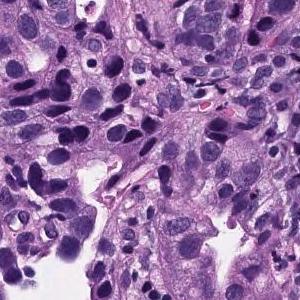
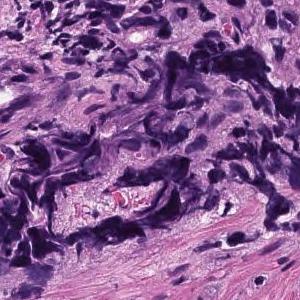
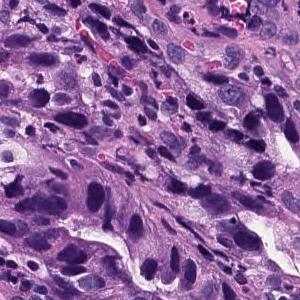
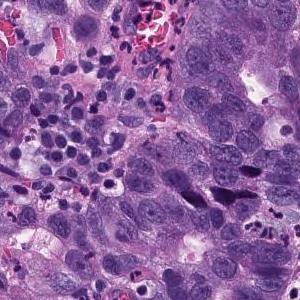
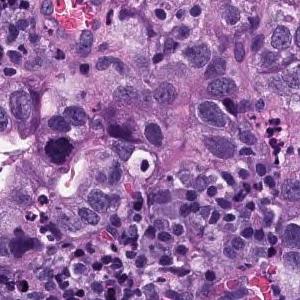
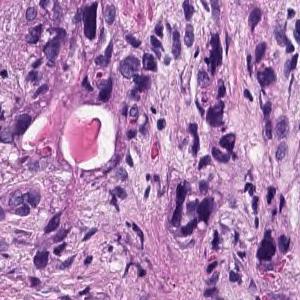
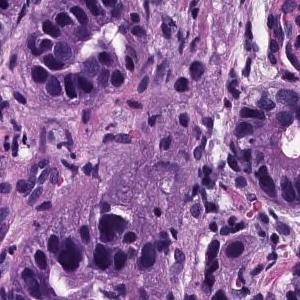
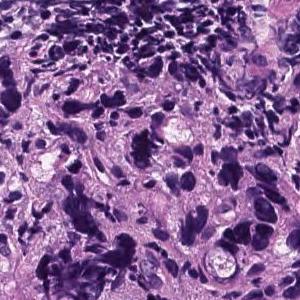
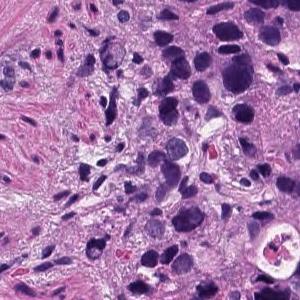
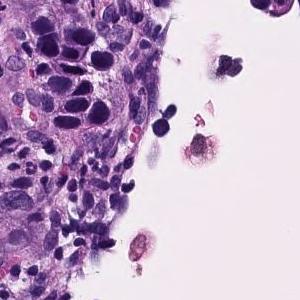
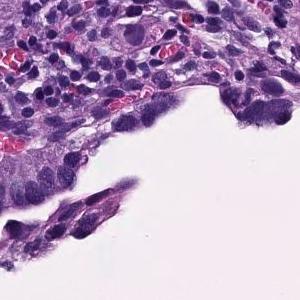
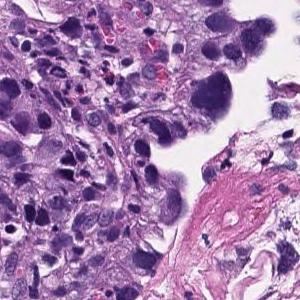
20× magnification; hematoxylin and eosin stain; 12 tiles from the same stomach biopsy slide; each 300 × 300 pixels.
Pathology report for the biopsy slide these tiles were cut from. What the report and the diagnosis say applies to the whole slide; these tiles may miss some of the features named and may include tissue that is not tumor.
In the epithelium, tumor tissue in which medium to small irregular gland ducts fuse with each other and infiltrate the submucosa. moderately differentiated tubular adenocarcinoma
